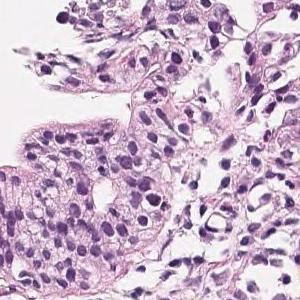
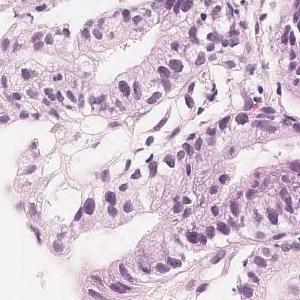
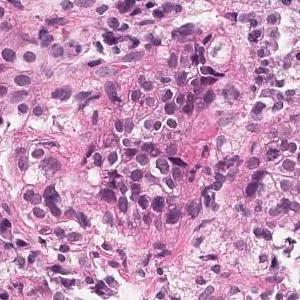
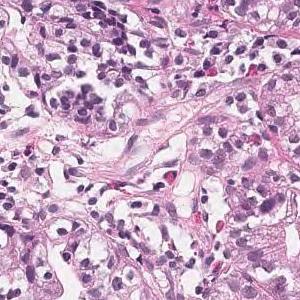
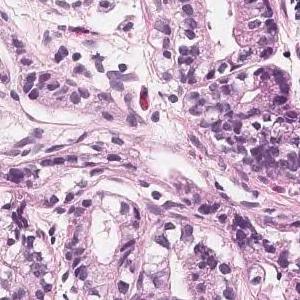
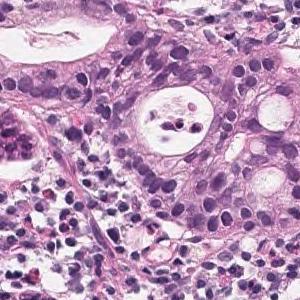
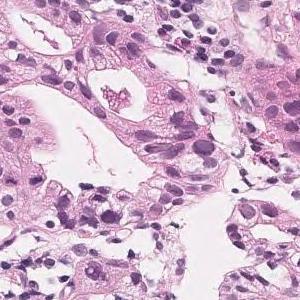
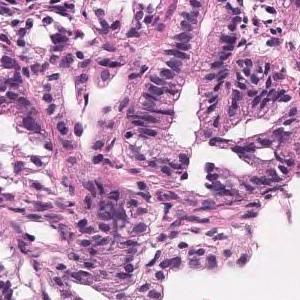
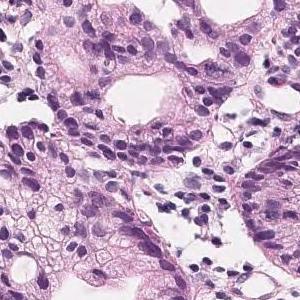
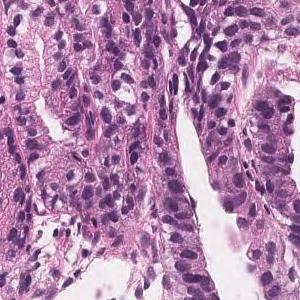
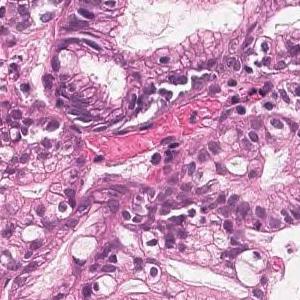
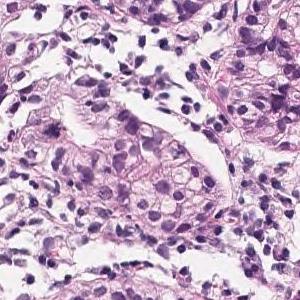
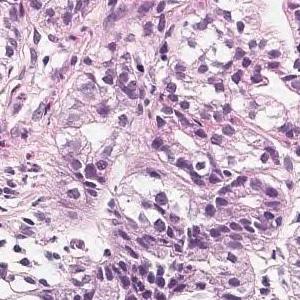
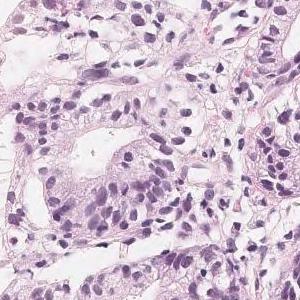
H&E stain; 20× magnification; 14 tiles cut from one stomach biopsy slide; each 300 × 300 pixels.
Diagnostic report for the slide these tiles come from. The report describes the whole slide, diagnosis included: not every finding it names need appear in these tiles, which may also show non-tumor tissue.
Proliferation of atypical glandular ducts that fuse and show a sieving structure is observed. moderately differentiated tubular adenocarcinoma
